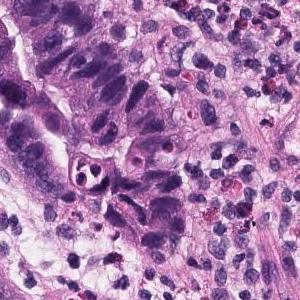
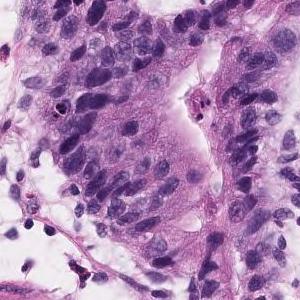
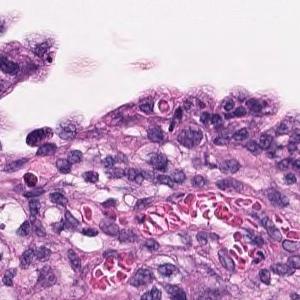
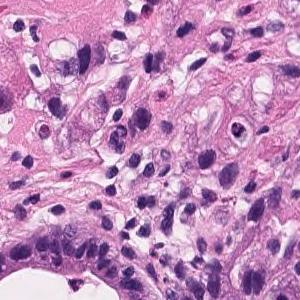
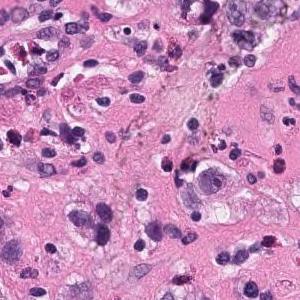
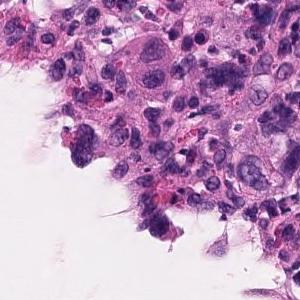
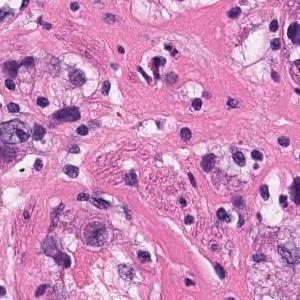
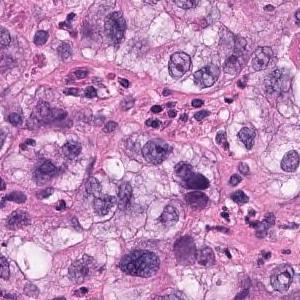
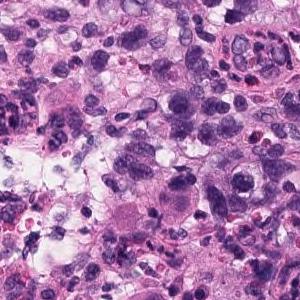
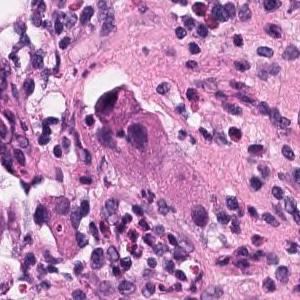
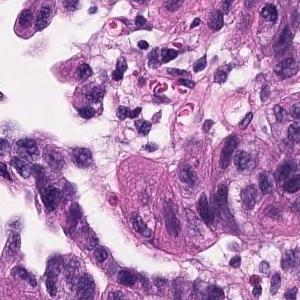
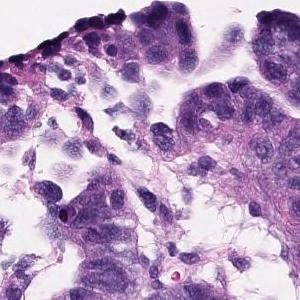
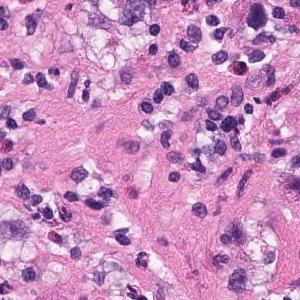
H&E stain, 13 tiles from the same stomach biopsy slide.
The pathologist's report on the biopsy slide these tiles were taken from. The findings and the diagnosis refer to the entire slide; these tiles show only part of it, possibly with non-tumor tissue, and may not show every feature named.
Atypical l cells with atypical nuclei forming diffuse or small irregular atypical ducts and growing. Moderately to poorly differentiated adenocarcinoma (poorly differentiated adenocarcinoma, solid type, moderately differentiated tubular adenocarcinoma)
Tumor subtype: moderately to poorly differentiated adenocarcinoma.
The solid type named here is a Japanese Classification of Gastric Carcinoma category; WHO 2019 calls it tubular adenocarcinoma, poorly differentiated.
